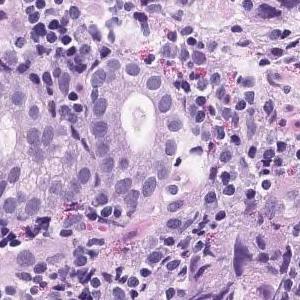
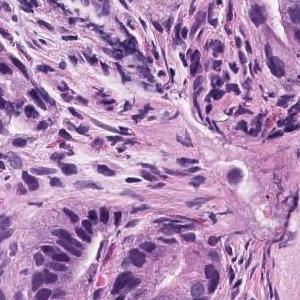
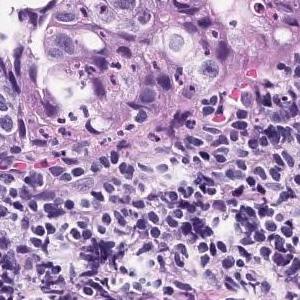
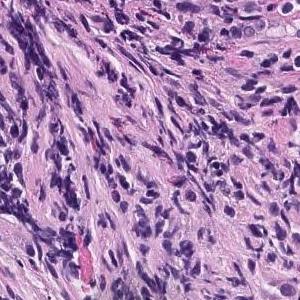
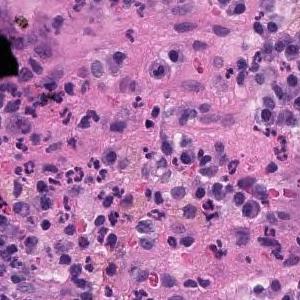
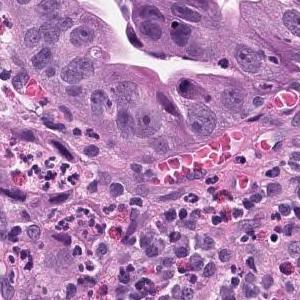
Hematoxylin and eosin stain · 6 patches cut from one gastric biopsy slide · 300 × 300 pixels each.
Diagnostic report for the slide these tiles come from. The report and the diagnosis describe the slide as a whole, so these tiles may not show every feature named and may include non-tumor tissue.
Atypical epithelium replaces superficial epithelium or localized ducts, or grows while forming irregular ducts. Well differentiated tubular adenocarcinoma
